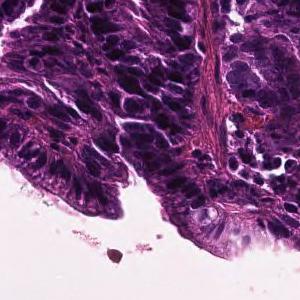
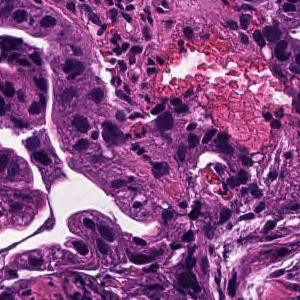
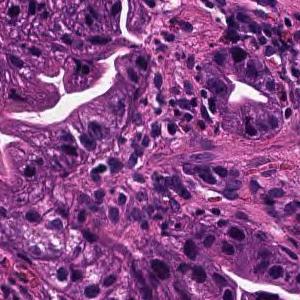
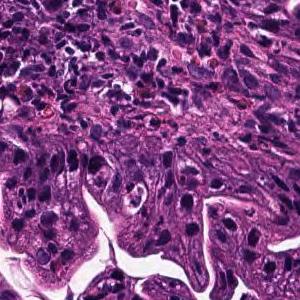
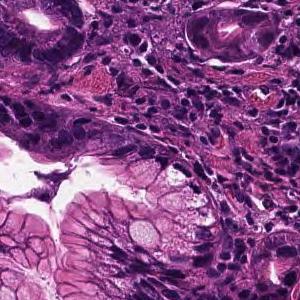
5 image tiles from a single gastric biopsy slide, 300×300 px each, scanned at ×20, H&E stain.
Pathology report for the biopsy slide these tiles were cut from. Both the report and the diagnosis are for the whole slide: these tiles need not show every feature named, and some of the tissue shown may not be tumor.
In the superficial epithelium, tumor tissue that invades by forming medium-sized to small, irregular ducts is observed. moderately differentiated tubular adenocarcinoma.
